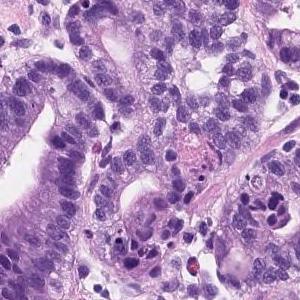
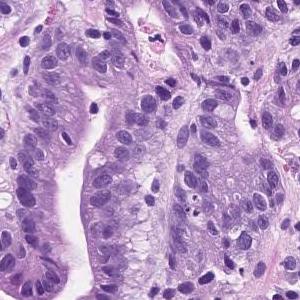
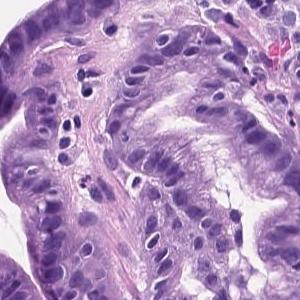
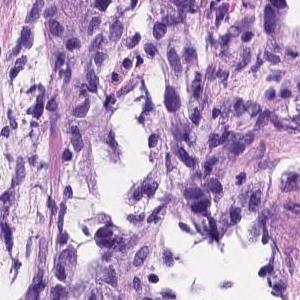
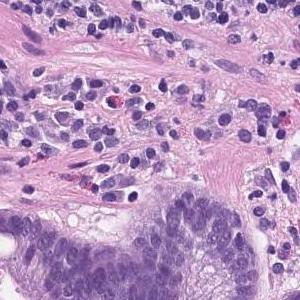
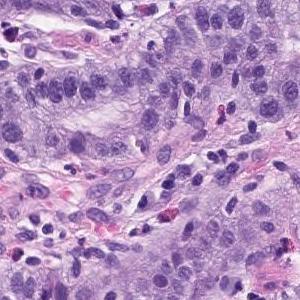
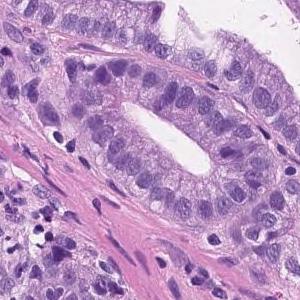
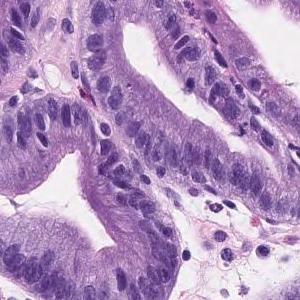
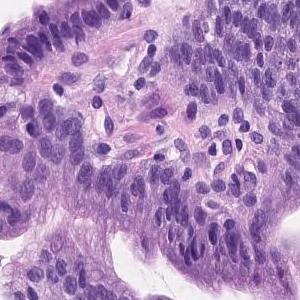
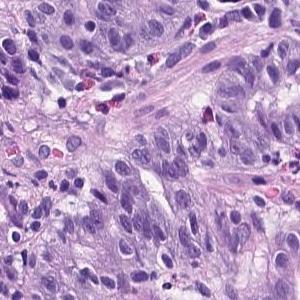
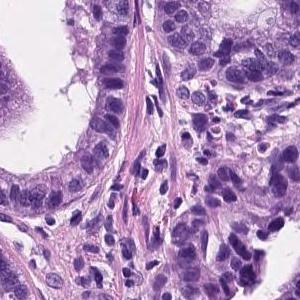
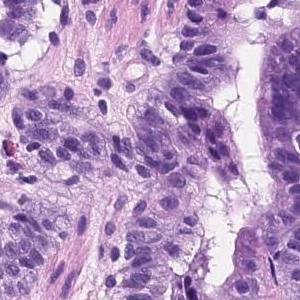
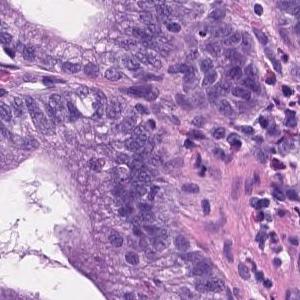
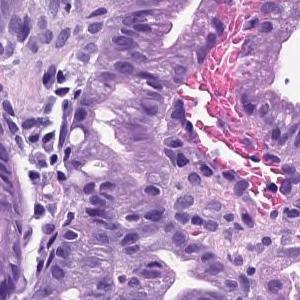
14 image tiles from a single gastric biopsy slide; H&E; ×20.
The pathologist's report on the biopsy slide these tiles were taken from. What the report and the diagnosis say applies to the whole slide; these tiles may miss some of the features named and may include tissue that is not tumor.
Tumor tissue consisting of medium-sized and irregular ducts is observed infiltrating in the superficial epithelium. Tumor cells are highly columnar, with nuclei aligned basolaterally and polarized. Well differentiated tubular adenocarcinoma.
